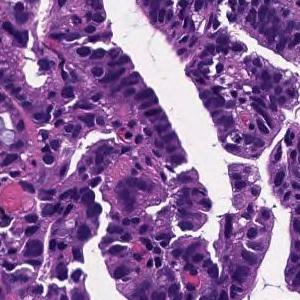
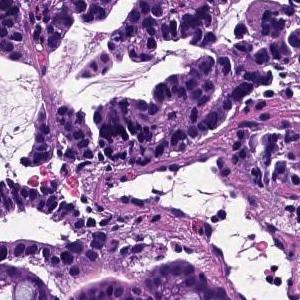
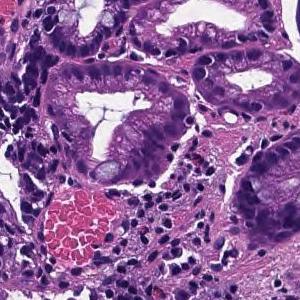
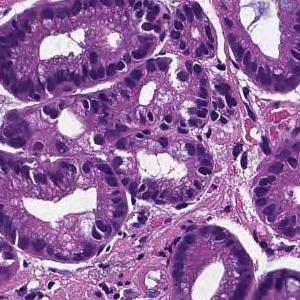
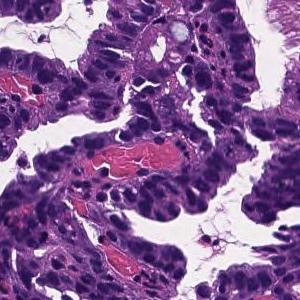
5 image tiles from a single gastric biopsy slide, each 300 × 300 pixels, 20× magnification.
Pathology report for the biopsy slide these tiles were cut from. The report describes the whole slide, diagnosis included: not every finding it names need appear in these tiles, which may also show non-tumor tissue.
Tumor cells are large, highly columnar, large club-shaped nuclei, and are associated with chromatin aggregation. Papillary adenocarcinoma.
